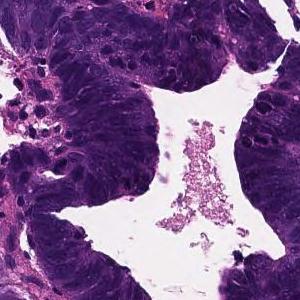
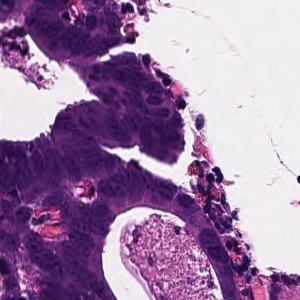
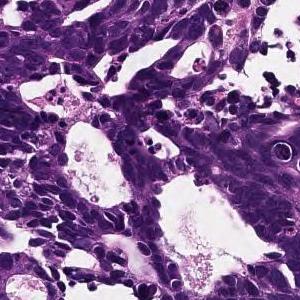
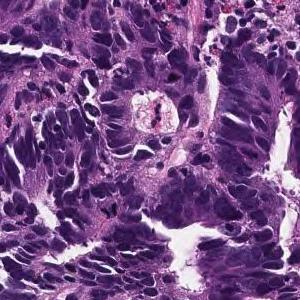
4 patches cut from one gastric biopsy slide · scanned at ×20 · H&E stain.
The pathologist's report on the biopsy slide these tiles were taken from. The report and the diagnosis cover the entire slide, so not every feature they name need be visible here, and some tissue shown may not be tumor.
In the superficial epithelium, tumor tissue that invades by forming medium-sized to small, irregular ducts is observed. moderately differentiated tubular adenocarcinoma.
